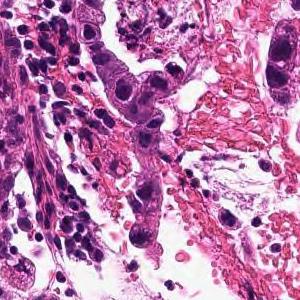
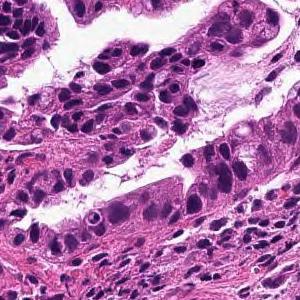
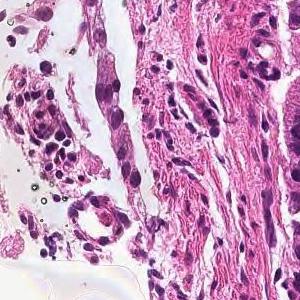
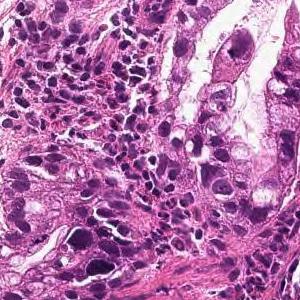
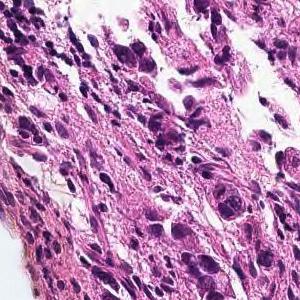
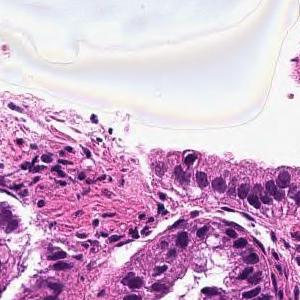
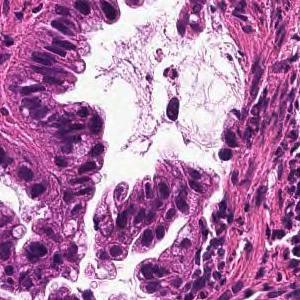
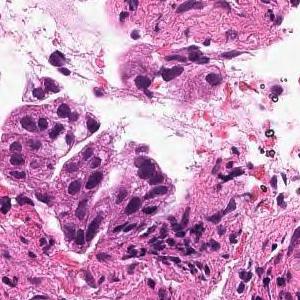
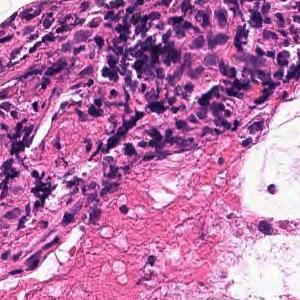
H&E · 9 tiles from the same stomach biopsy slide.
Pathology report for the slide these tiles were cut from. The findings and the diagnosis refer to the entire slide; these tiles show only part of it, possibly with non-tumor tissue, and may not show every feature named.
From the superficial epithelium to the muscularis mucosae, tumor tissue infiltrating by forming medium-sized irregular gland ducts is observed. Well differentiated tubular adenocarcinoma
